Hematoxylin and eosin stain, ×20, 13 tiles cut from one stomach biopsy slide.
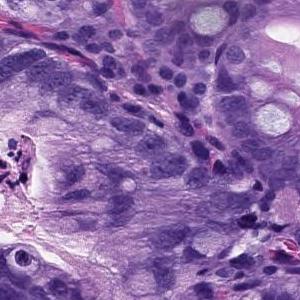
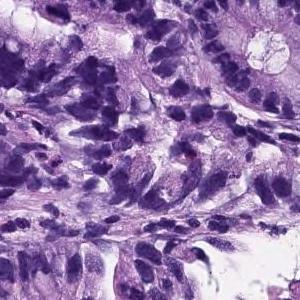
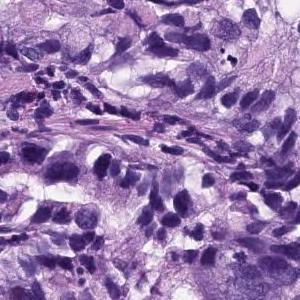
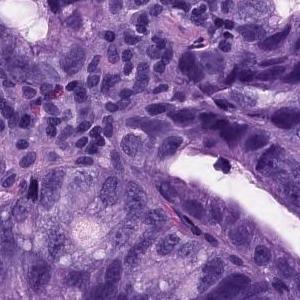
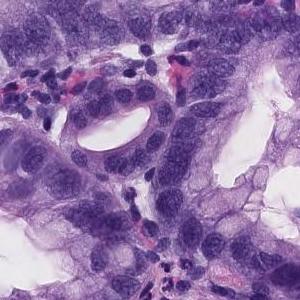
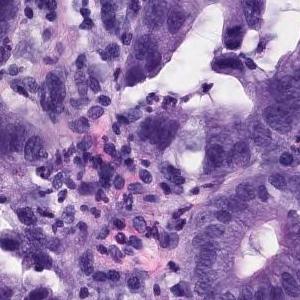
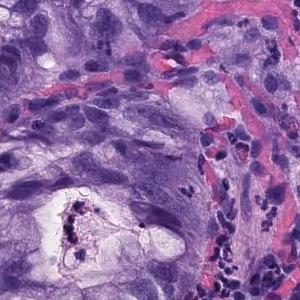
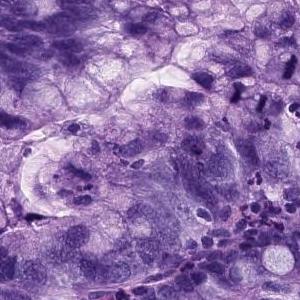
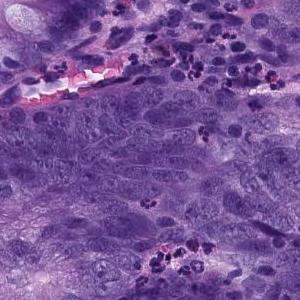
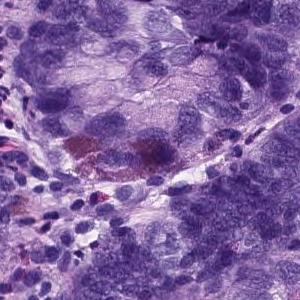
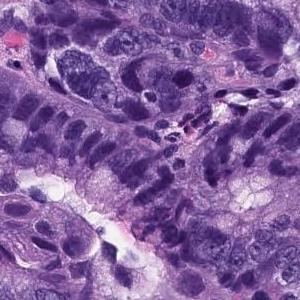
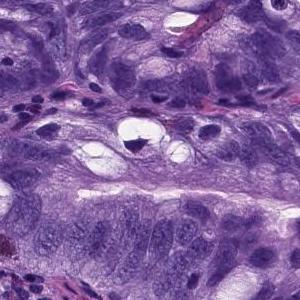
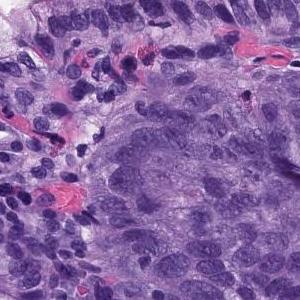
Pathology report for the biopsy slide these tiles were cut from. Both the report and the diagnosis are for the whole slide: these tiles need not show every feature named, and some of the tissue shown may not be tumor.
There are large atypical epithelial cells infiltrating and proliferating while forming atypical glandular cavities showing a fusion tendency. Moderately differentiated tubular adenocarcinoma.
